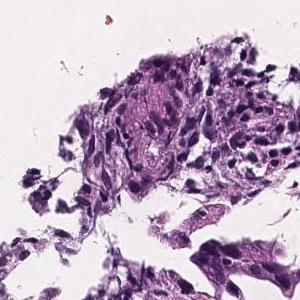
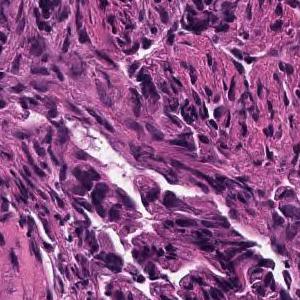
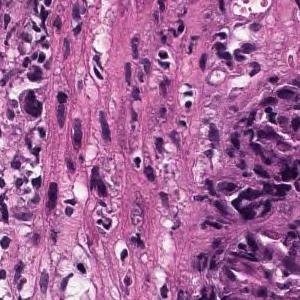
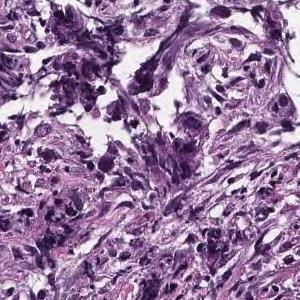
×20, 4 image tiles from a single gastric biopsy slide.
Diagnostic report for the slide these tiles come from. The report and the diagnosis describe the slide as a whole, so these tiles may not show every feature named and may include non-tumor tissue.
In the superficial epithelium, tumor tissue that invades by forming medium-sized to small, irregular ducts is observed. moderately differentiated tubular adenocarcinoma.
